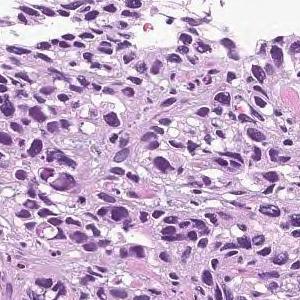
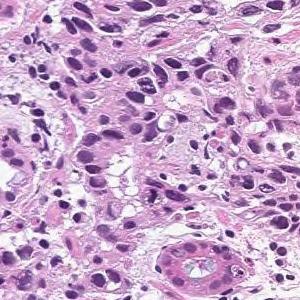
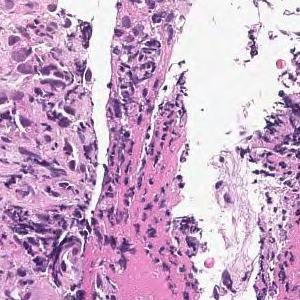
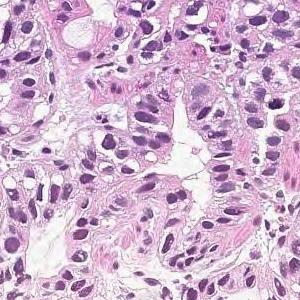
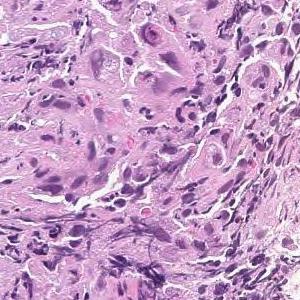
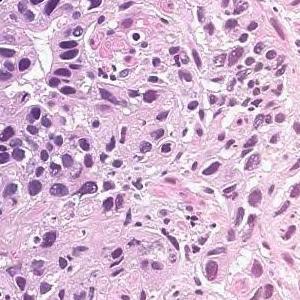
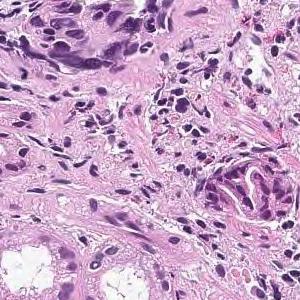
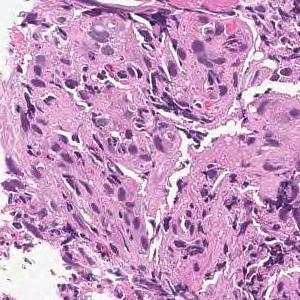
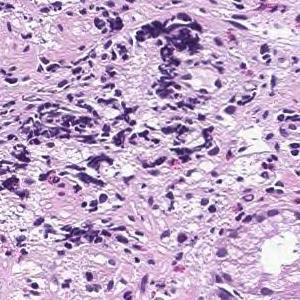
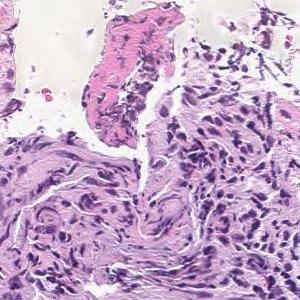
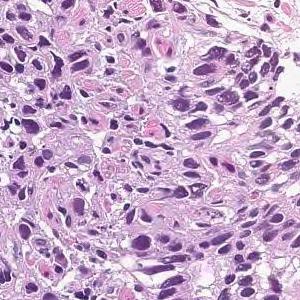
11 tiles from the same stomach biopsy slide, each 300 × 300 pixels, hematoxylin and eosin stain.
Diagnostic report for the slide these tiles come from. The report and the diagnosis cover the entire slide, so not every feature they name need be visible here, and some tissue shown may not be tumor.
Tumor tissue consisting of cord-like or small, irregular glandular ducts fused and infiltrated is observed in the superficial epithelium. Poorly differentiated adenocarcinoma, non-solid type
The term "non-solid type" comes from the Japanese Classification of Gastric Carcinoma.
